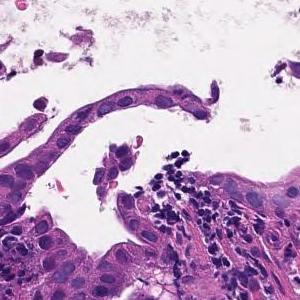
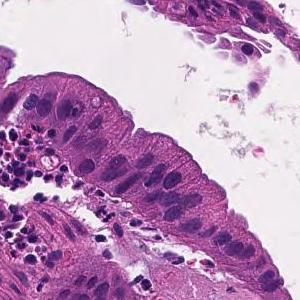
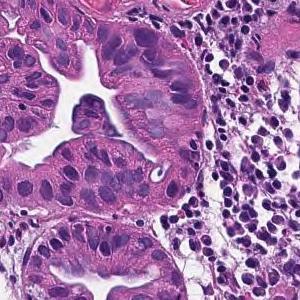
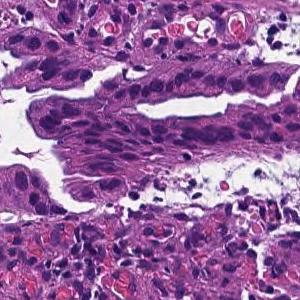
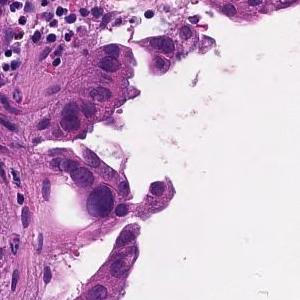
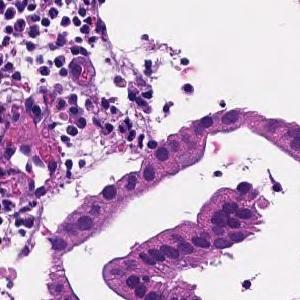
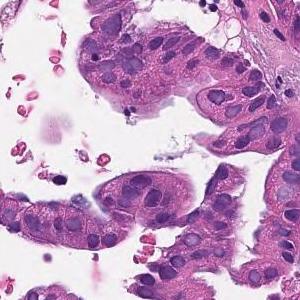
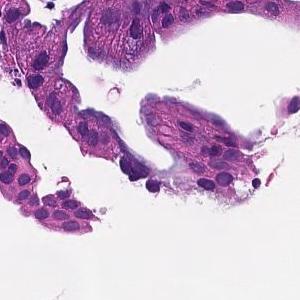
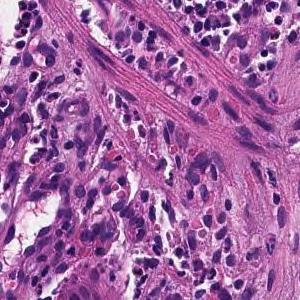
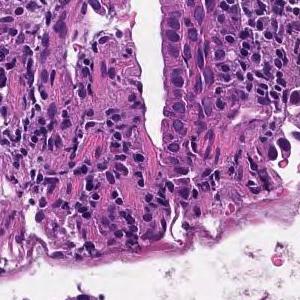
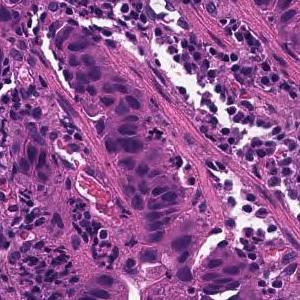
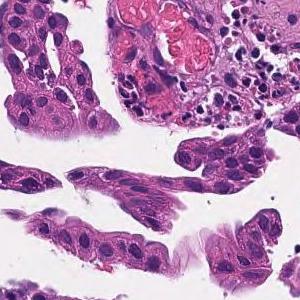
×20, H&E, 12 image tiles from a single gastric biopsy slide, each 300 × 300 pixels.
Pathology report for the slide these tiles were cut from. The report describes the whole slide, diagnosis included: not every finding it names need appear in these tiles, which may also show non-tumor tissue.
On the superficial epithelium, tumor tissue that infiltrates by forming medium-sized papillary or small irregular ducts is observed. Papillary adenocarcinoma
